11 tiles from the same stomach biopsy slide; each 300 × 300 pixels; scanned at ×20; hematoxylin and eosin stain.
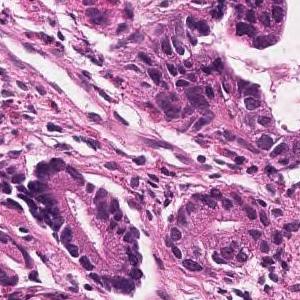
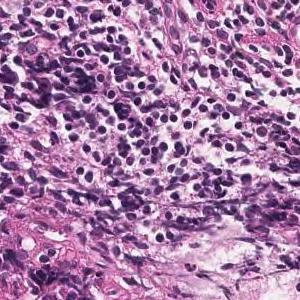
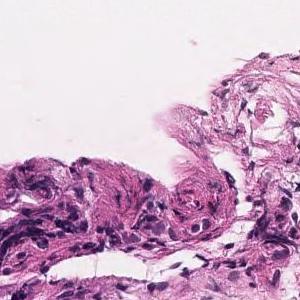
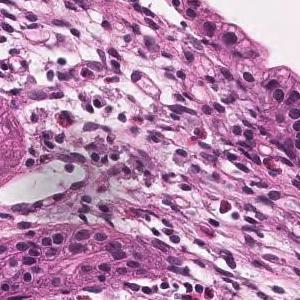
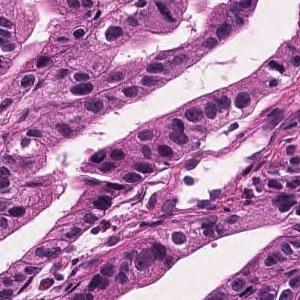
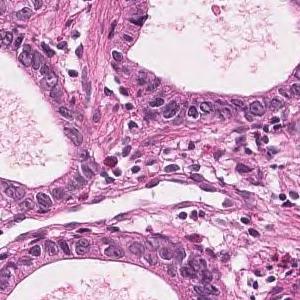
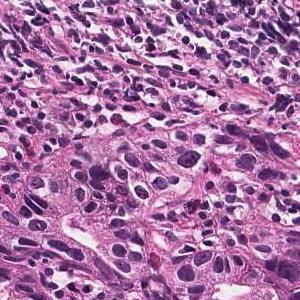
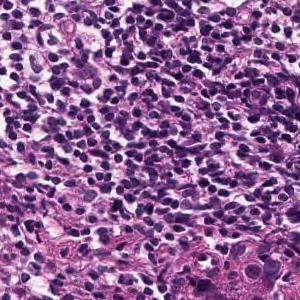
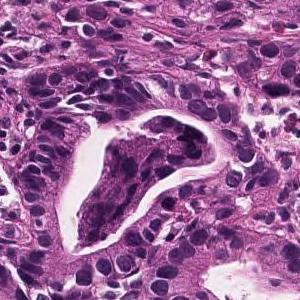
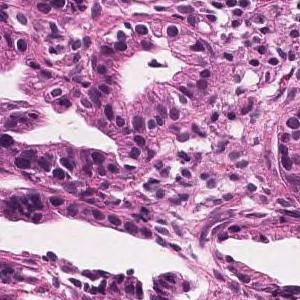
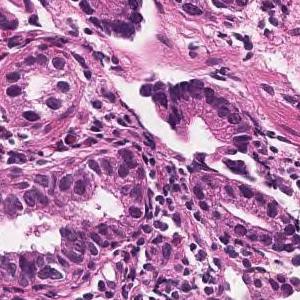
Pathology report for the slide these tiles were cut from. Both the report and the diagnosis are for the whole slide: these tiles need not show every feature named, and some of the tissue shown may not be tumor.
Tumor tissue consisting of medium-sized and irregular ducts is observed infiltrating in the superficial epithelium. Tumor cells are highly columnar, with nuclei aligned basolaterally and polarized. Well differentiated tubular adenocarcinoma.
